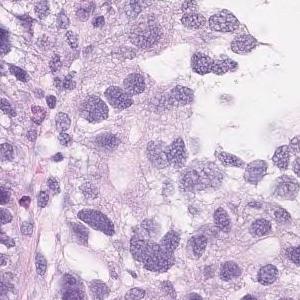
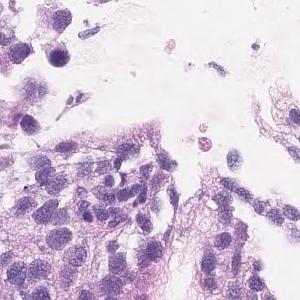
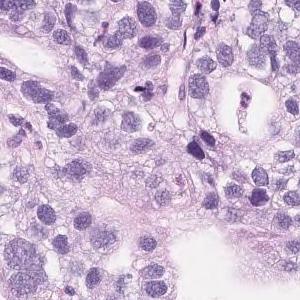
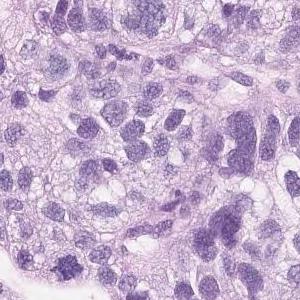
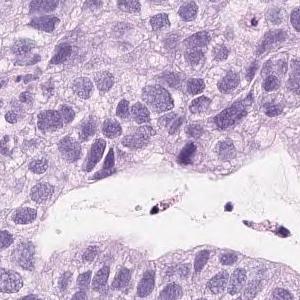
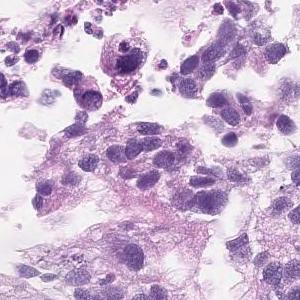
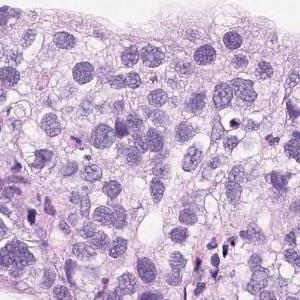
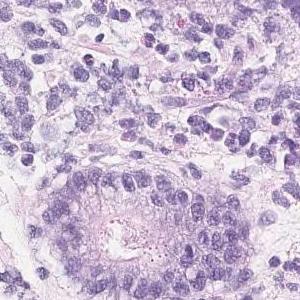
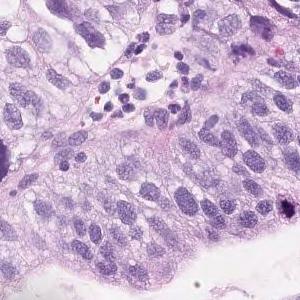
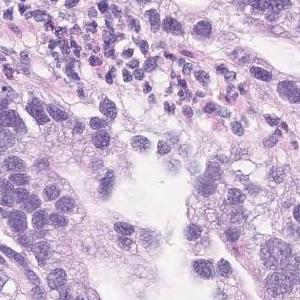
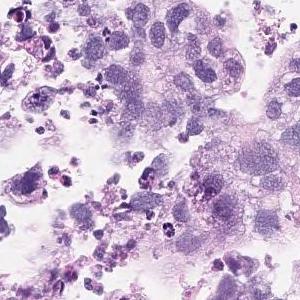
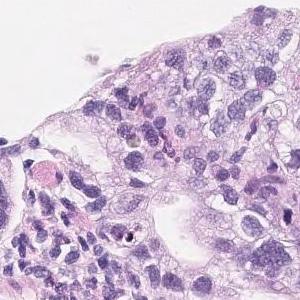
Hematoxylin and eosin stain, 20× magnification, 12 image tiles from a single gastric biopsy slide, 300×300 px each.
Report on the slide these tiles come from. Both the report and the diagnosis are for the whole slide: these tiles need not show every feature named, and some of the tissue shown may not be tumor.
On the superficial epithelium, tumor tissue consisting of large, irregular glandular ducts partially fused and infiltrated is observed. Well to moderately differentiated tubular adenocarcinoma (well differentiated tubular adenocarcinoma, moderately differentiated tubular adenocarcinoma)
Histologic type: Well to moderately differentiated tubular adenocarcinoma.
